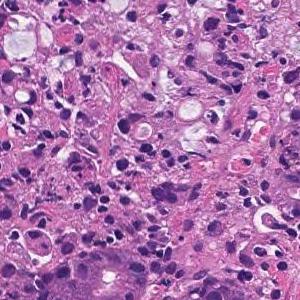
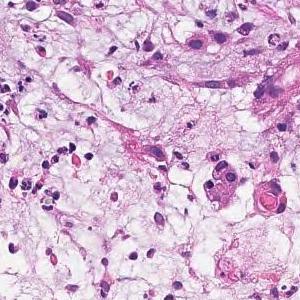
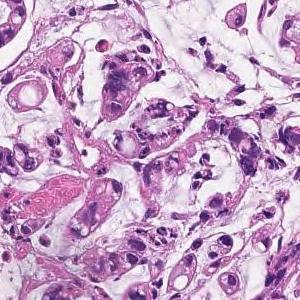
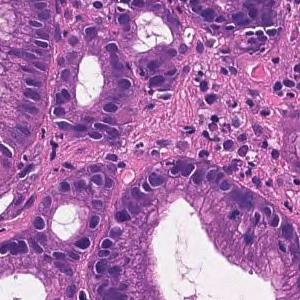
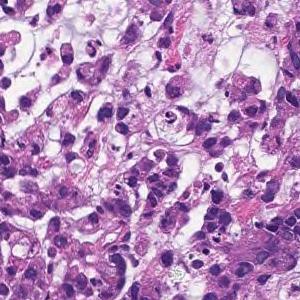
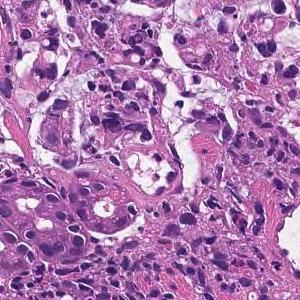
×20; H&E stain; 6 patches cut from one gastric biopsy slide.
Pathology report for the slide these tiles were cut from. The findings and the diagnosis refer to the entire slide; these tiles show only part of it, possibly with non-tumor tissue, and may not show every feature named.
Tumor tissue consisting of cord-like or small, irregular glandular ducts fused and infiltrated is observed in the superficial epithelium. Poorly differentiated adenocarcinoma, non-solid type
The term "non-solid type" comes from the Japanese Classification of Gastric Carcinoma.
